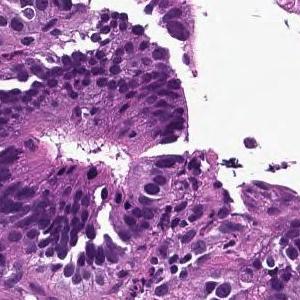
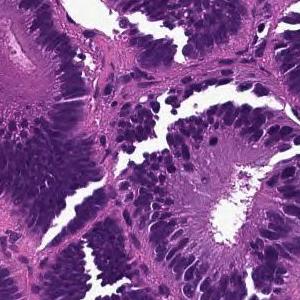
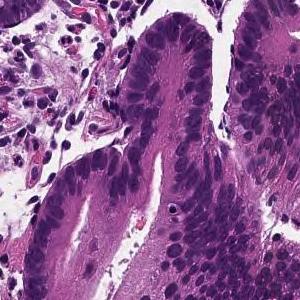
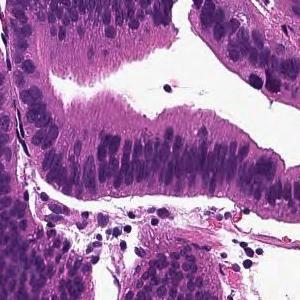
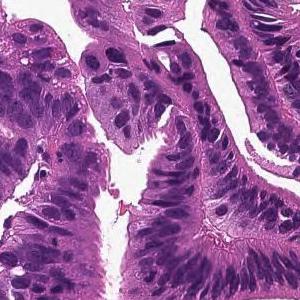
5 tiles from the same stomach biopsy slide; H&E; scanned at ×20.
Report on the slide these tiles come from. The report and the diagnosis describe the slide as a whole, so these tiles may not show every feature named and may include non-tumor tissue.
From the superficial epithelium to the muscularis mucosae, tumor tissue consisting of medium-sized and irregular glandular ducts infiltrating is observed. Well differentiated tubular adenocarcinoma
